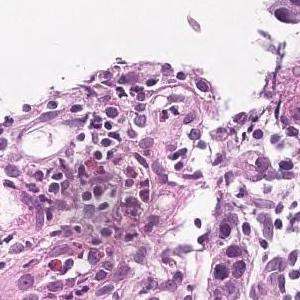
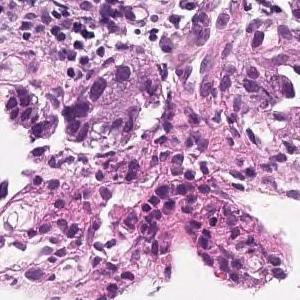
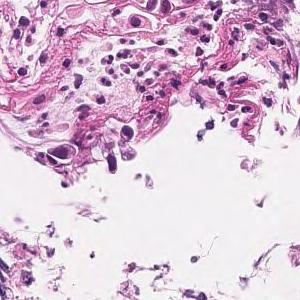
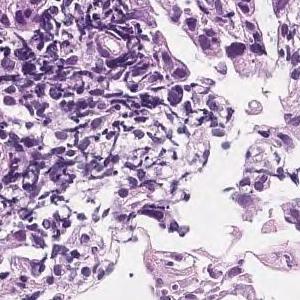
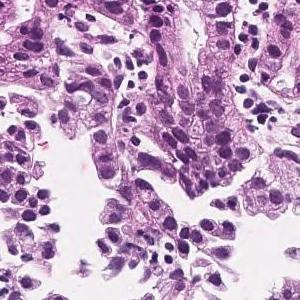
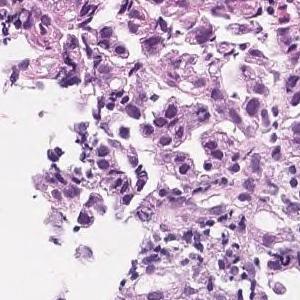
6 tiles cut from one stomach biopsy slide, 300 × 300 pixels each, scanned at ×20, H&E.
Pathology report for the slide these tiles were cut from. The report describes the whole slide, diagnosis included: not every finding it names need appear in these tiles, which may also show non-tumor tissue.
In the superficial epithelium, tumor tissue that invades by forming medium-sized to small, irregular ducts is observed. moderately differentiated tubular adenocarcinoma.
